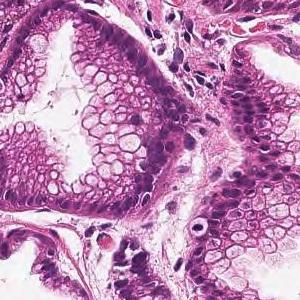
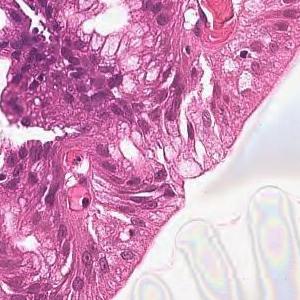
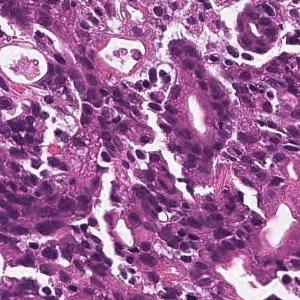
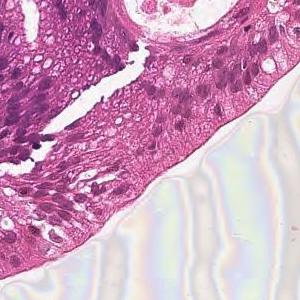
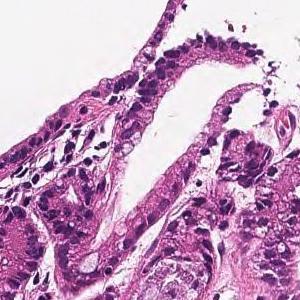
H&E · 20× magnification · 5 tiles from the same stomach biopsy slide · 300 × 300 pixels each.
Pathology report for the biopsy slide these tiles were cut from. What the report and the diagnosis say applies to the whole slide; these tiles may miss some of the features named and may include tissue that is not tumor.
In the superficial epithelium, tumor tissue that invades by forming medium-sized to small, irregular ducts is observed. moderately differentiated tubular adenocarcinoma.
